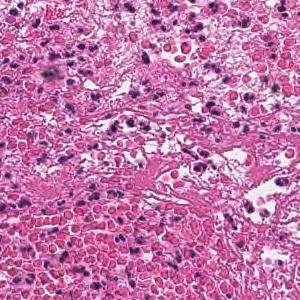
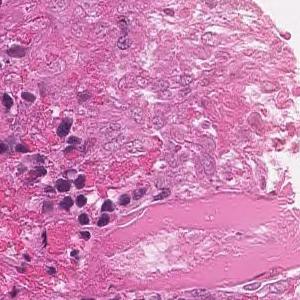
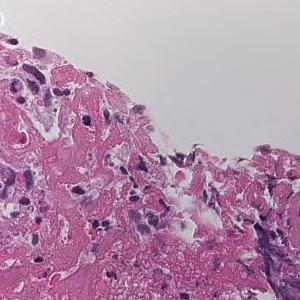
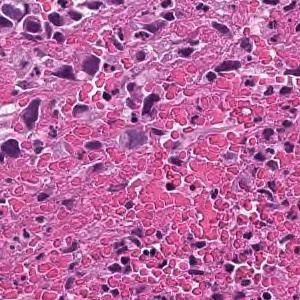
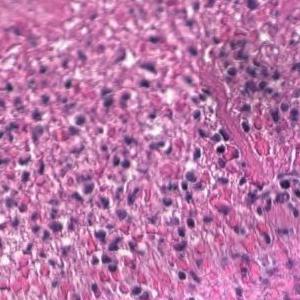
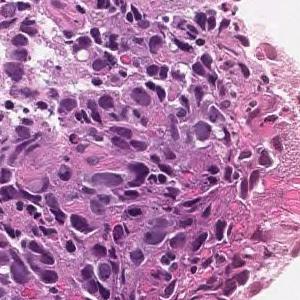
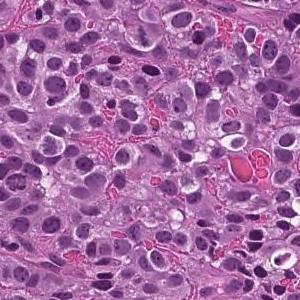
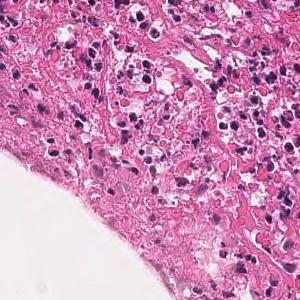
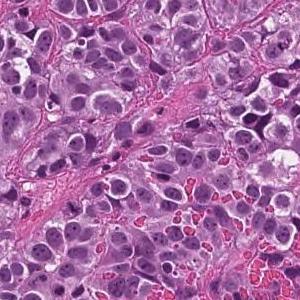
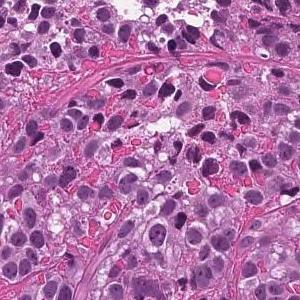
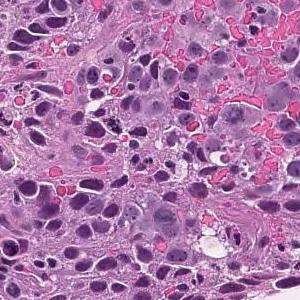
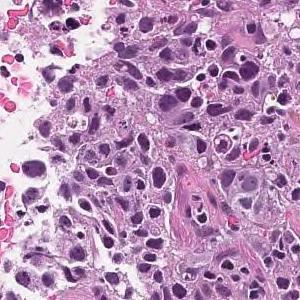
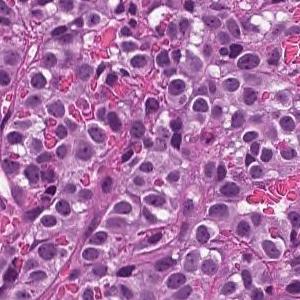
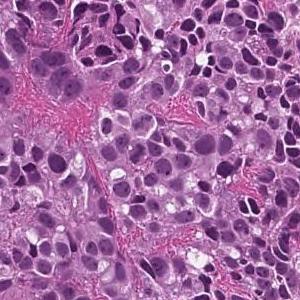
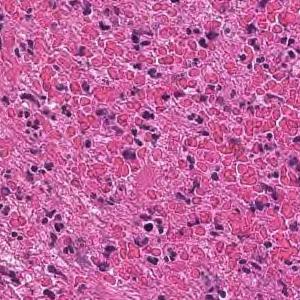
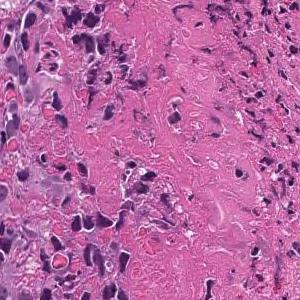
16 tiles from the same stomach biopsy slide · scanned at ×20.
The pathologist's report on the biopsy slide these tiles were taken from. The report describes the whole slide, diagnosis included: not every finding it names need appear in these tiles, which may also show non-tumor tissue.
The superficial epithelium shows a large sheet-like shape, and some tumor tissue infiltrates with small irregular ducts. Poorly differentiated adenocarcinoma, solid-type
Classified as poorly differentiated adenocarcinoma, solid type (Japanese Classification of Gastric Carcinoma). The WHO 2019 equivalent is tubular adenocarcinoma, poorly differentiated.
